7 patches cut from one gastric biopsy slide; 300×300 px each; scanned at ×20; H&E.
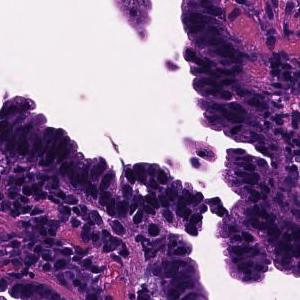
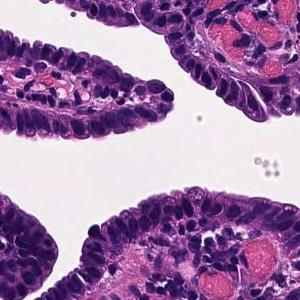
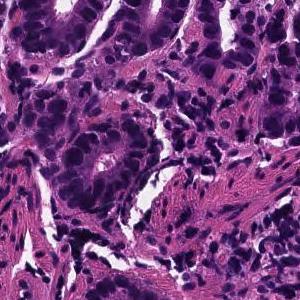
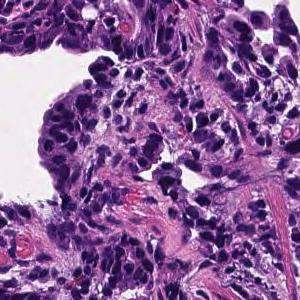
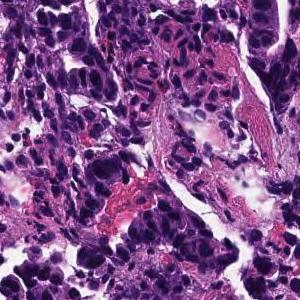
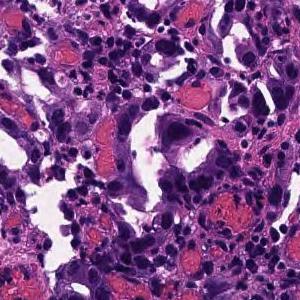
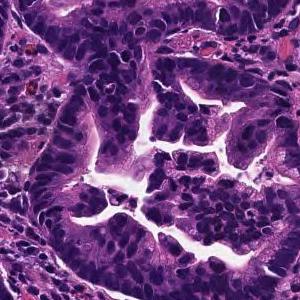
Report on the slide these tiles come from. The report and the diagnosis cover the entire slide, so not every feature they name need be visible here, and some tissue shown may not be tumor.
On the superficial epithelium, tumor tissue that infiltrates by forming medium-sized papillary or small irregular ducts is observed. Papillary adenocarcinoma
